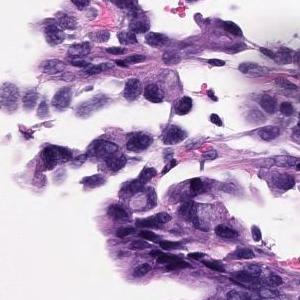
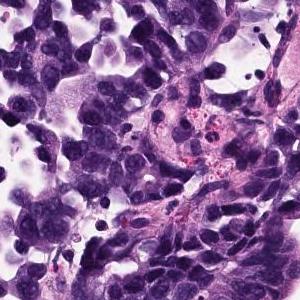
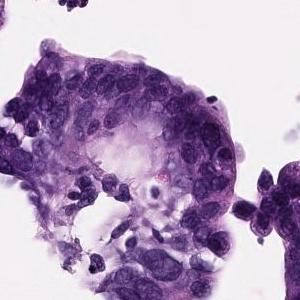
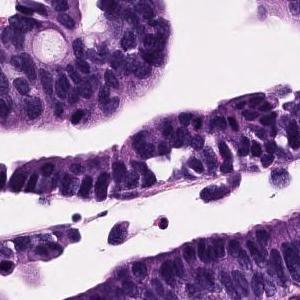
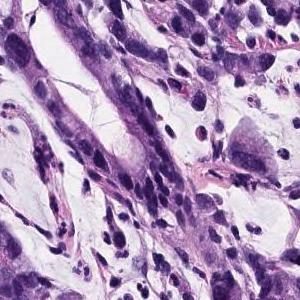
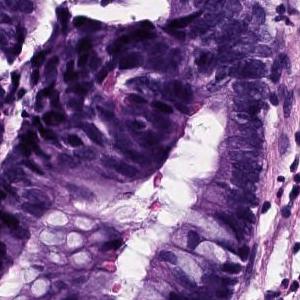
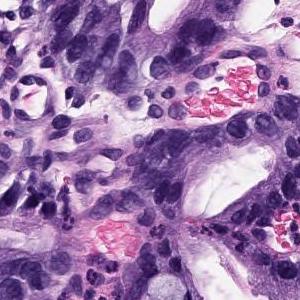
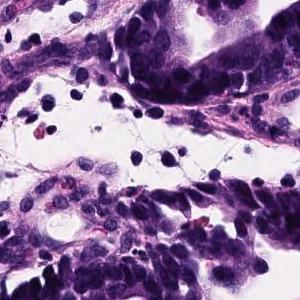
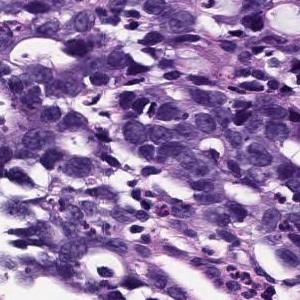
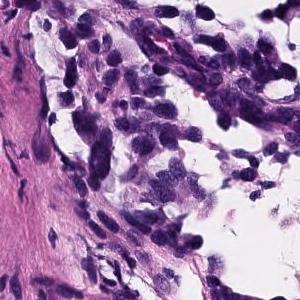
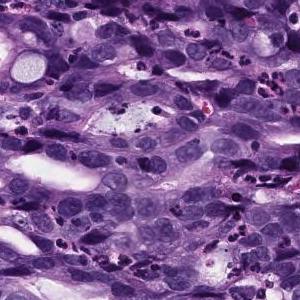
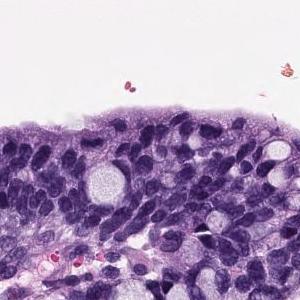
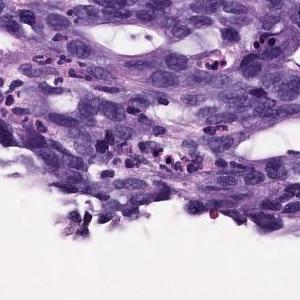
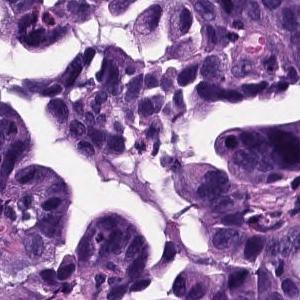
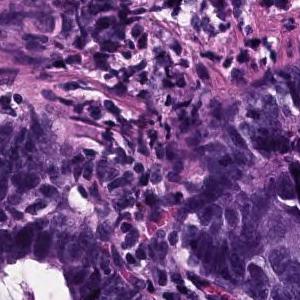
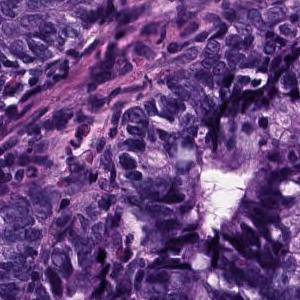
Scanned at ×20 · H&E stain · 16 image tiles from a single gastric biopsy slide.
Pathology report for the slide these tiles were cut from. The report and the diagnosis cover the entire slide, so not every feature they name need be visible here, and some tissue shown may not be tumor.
Atypical epithelium proliferating showing villus construction and irregular gland duct construction is observed. Moderately differentiated tubular adenocarcinoma.
